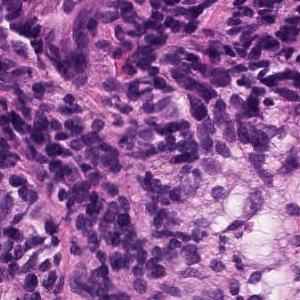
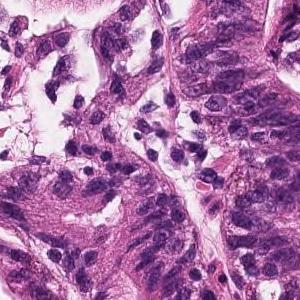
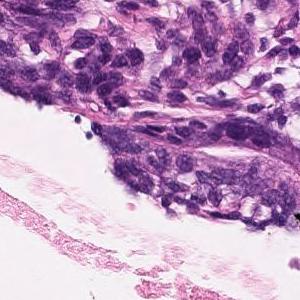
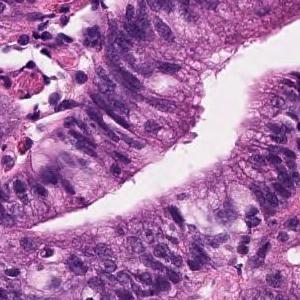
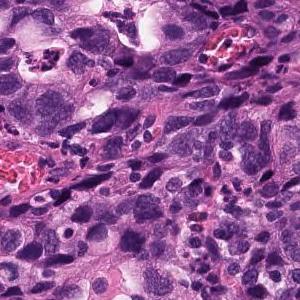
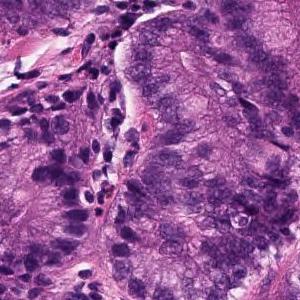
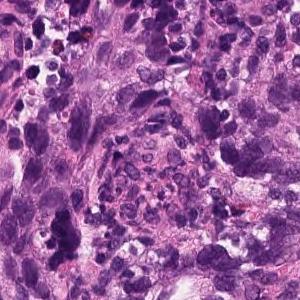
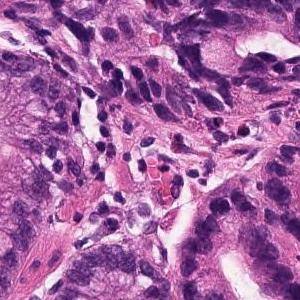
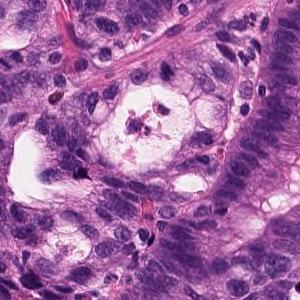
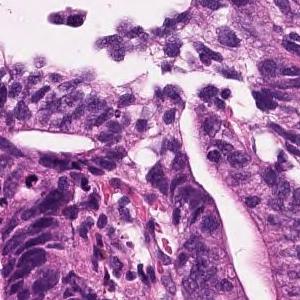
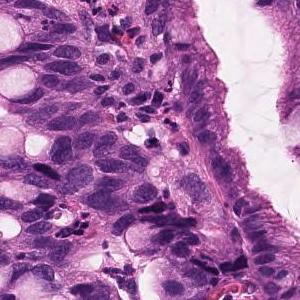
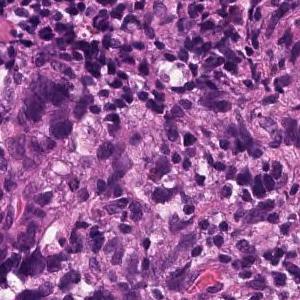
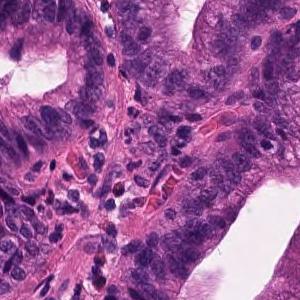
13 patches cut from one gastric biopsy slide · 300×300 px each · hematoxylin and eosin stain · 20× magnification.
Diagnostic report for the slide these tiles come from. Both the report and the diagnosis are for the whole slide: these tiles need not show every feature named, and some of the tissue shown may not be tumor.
In the superficial epithelium, tumor tissue that invades by forming medium-sized to small, irregular ducts is observed. Moderately differentiated adenocarcinoma.
Tumor subtype: moderately differentiated tubular adenocarcinoma.
